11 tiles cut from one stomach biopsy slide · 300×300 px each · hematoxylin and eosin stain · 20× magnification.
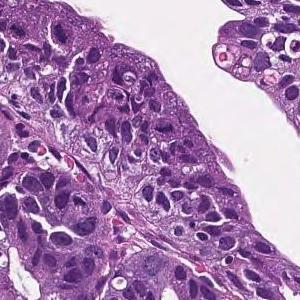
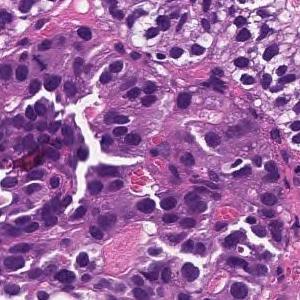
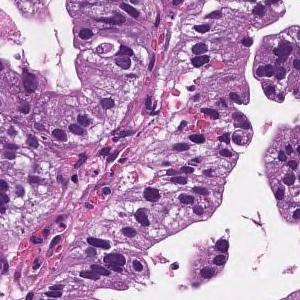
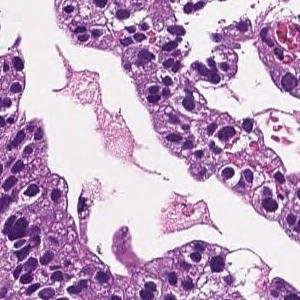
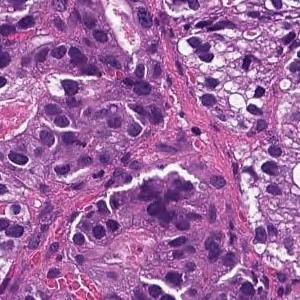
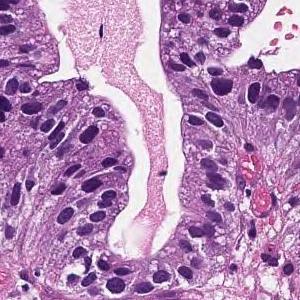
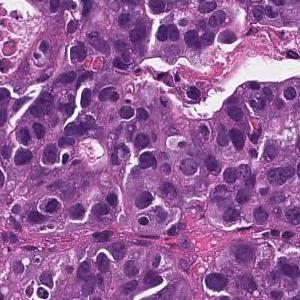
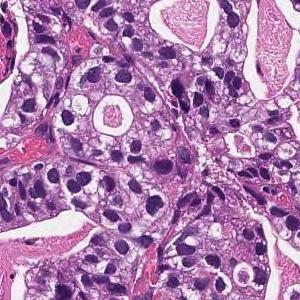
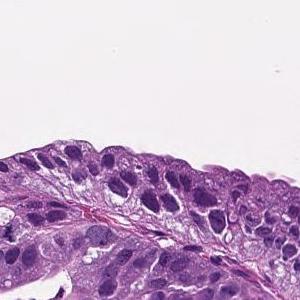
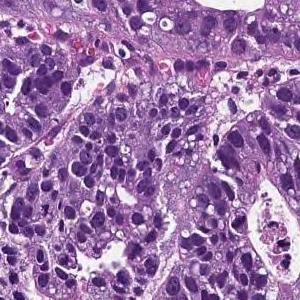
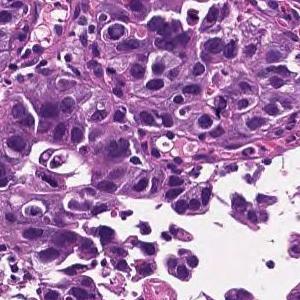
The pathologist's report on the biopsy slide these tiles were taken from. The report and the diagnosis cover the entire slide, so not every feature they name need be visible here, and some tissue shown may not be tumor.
On the superficial epithelium, tumor tissue consisting of large, irregular glandular ducts partially fused and infiltrated is observed. Well to moderately differentiated tubular adenocarcinoma (well differentiated tubular adenocarcinoma, moderately differentiated tubular adenocarcinoma)
Histologic type: Well to moderately differentiated tubular adenocarcinoma.
